H&E, 11 patches cut from one gastric biopsy slide.
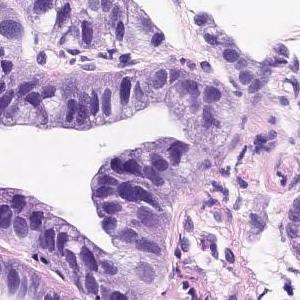
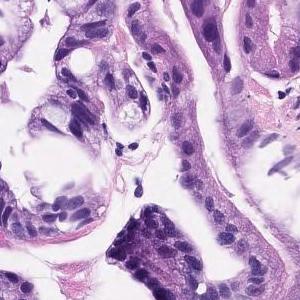
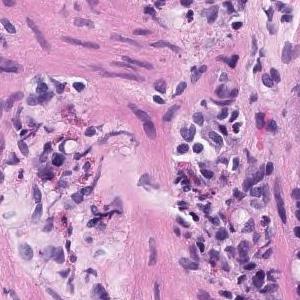
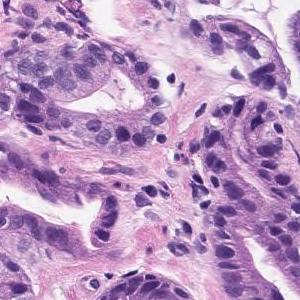
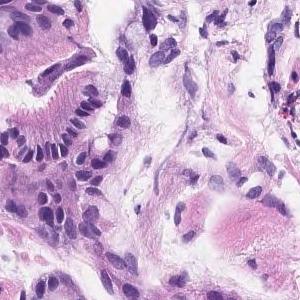
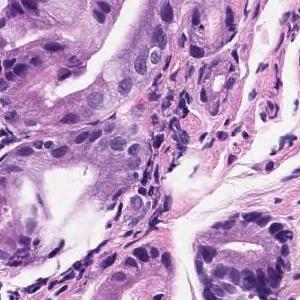
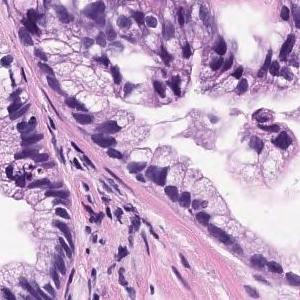
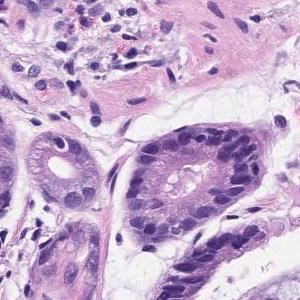
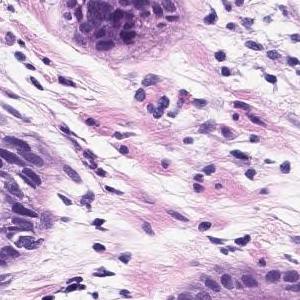
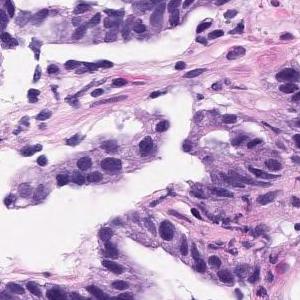
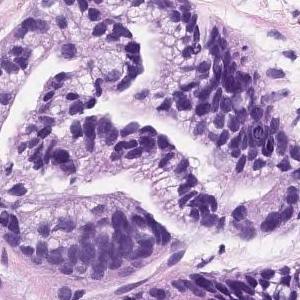
Diagnostic report for the slide these tiles come from. The report and the diagnosis describe the slide as a whole, so these tiles may not show every feature named and may include non-tumor tissue.
The superficial tumors shows large papillary structures or large and small ducts and infiltrates. Papillary adenocarcinoma.
